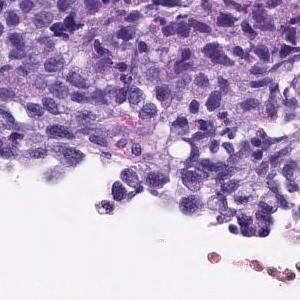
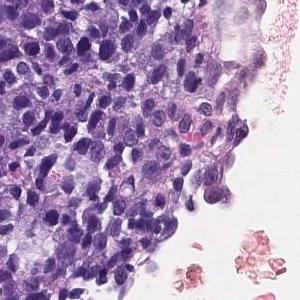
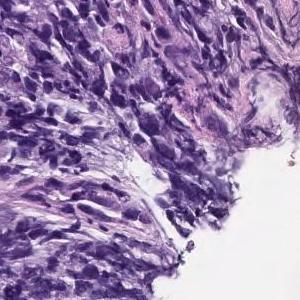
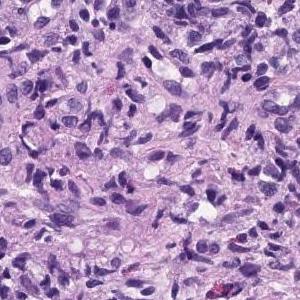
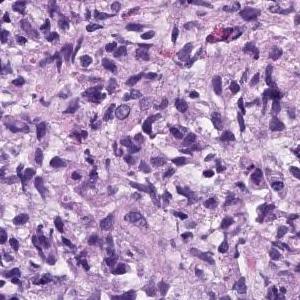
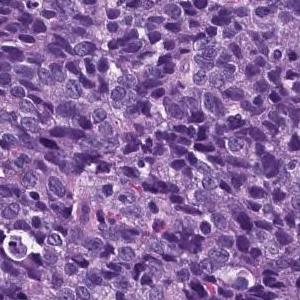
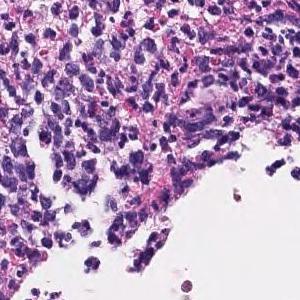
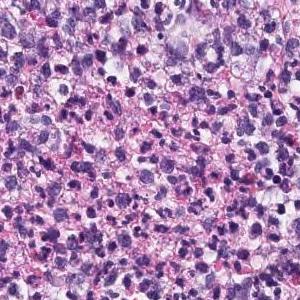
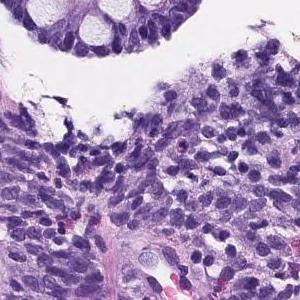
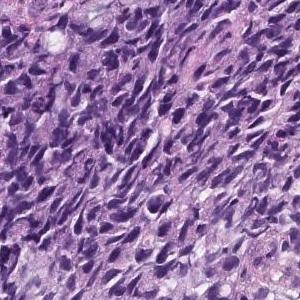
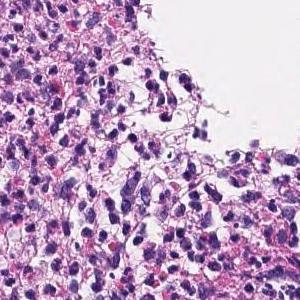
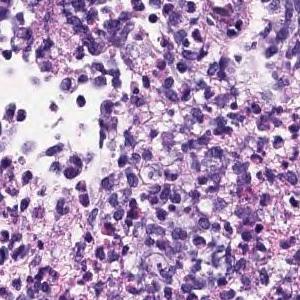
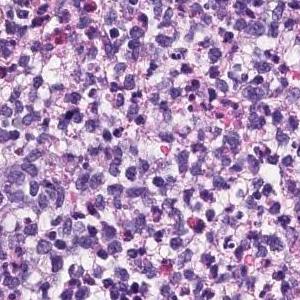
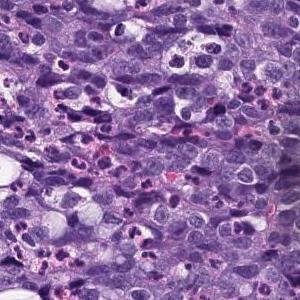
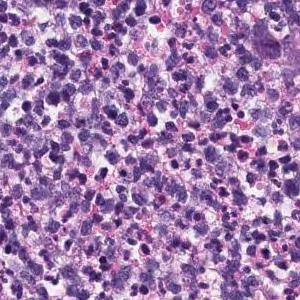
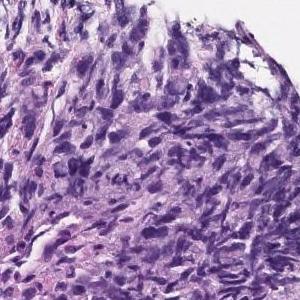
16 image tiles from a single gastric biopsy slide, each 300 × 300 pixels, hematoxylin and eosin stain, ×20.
The pathologist's report on the biopsy slide these tiles were taken from. The report describes the whole slide, diagnosis included: not every finding it names need appear in these tiles, which may also show non-tumor tissue.
The superficial epithelium shows a large sheet-like shape, and some tumor tissue infiltrates with small irregular ducts. Poorly differentiated adenocarcinoma, solid-type
Histologic type: Poorly differentiated adenocarcinoma, solid type, a category of the Japanese Classification of Gastric Carcinoma; in the WHO 2019 classification it is tubular adenocarcinoma, poorly differentiated.
